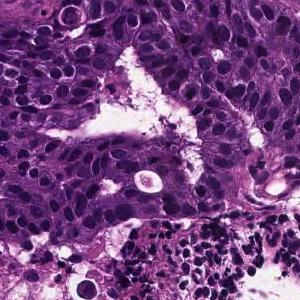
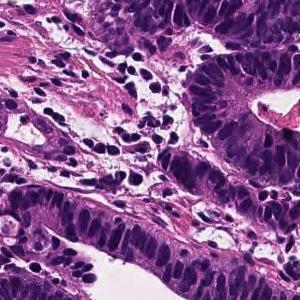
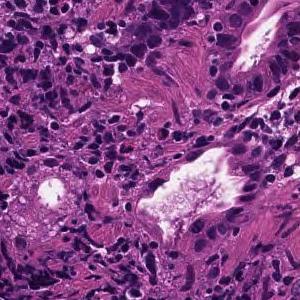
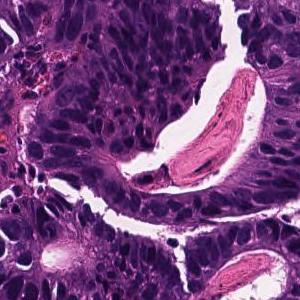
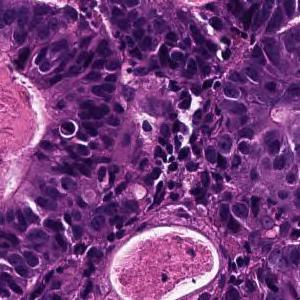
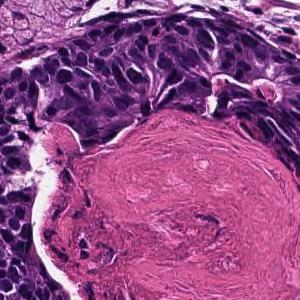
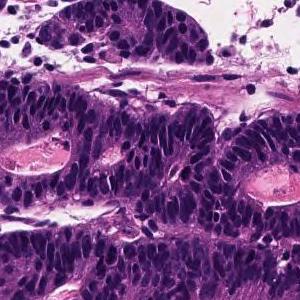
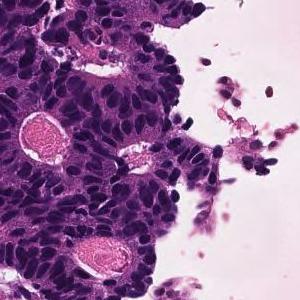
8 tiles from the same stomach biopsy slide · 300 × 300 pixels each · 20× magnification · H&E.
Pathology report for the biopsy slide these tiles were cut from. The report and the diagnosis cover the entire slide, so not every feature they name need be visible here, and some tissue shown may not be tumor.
In the superficial epithelium, tumor tissue that invades by forming medium-sized to small, irregular ducts is observed. moderately differentiated tubular adenocarcinoma.
